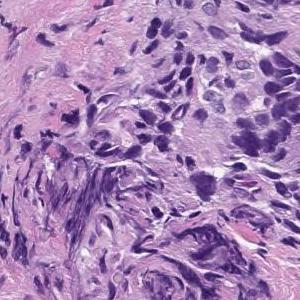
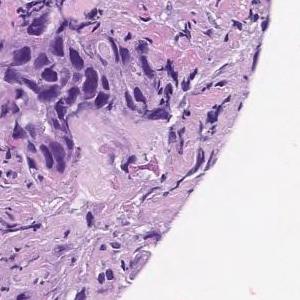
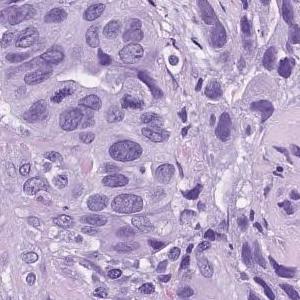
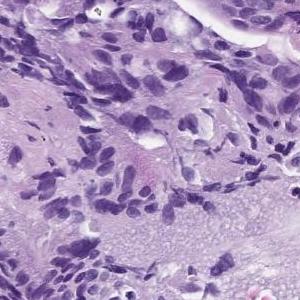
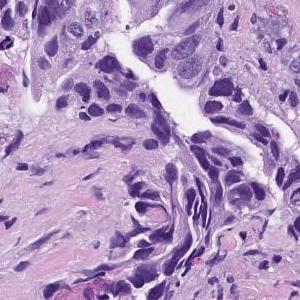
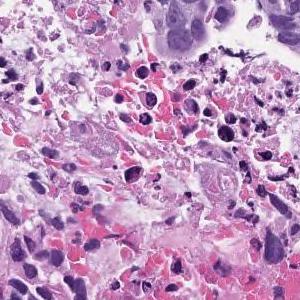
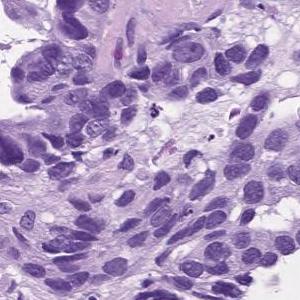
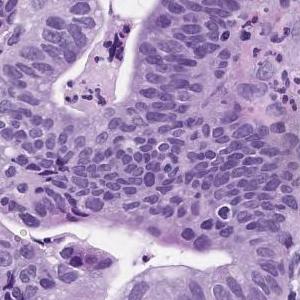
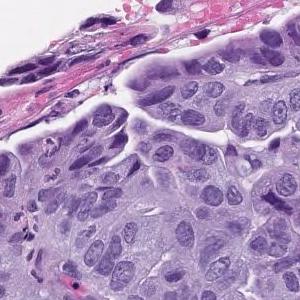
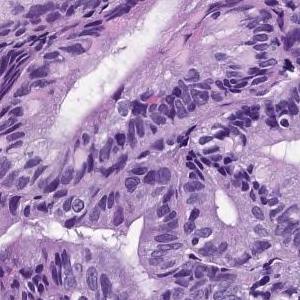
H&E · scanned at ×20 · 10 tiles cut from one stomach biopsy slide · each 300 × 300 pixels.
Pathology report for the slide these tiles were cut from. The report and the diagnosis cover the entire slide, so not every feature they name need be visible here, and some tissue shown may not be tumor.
In the superficial epithelium, tumor tissue that invades by forming medium-sized to small, irregular ducts is observed. moderately differentiated tubular adenocarcinoma.
